20× magnification; hematoxylin and eosin stain; 4 patches cut from one gastric biopsy slide; 300 × 300 pixels each.
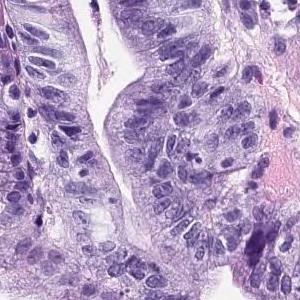
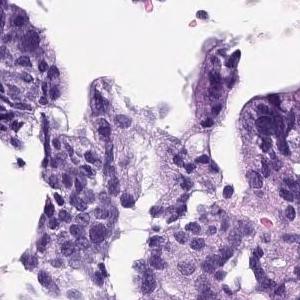
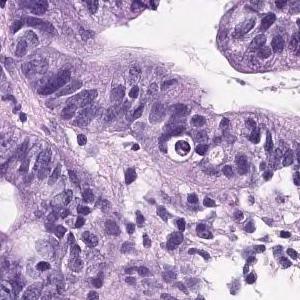
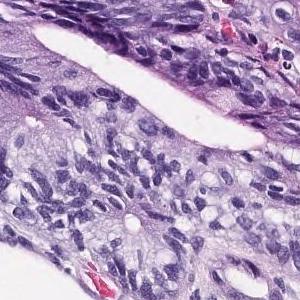
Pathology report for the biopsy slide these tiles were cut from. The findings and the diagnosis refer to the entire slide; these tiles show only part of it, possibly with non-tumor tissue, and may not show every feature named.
On the superficial epithelium, tumor tissue consisting of medium-sized to large-sized, round or irregular glandular duct growth images is observed. Well differentiated adenocarcinoma.
Histologic type: Well differentiated tubular adenocarcinoma.
